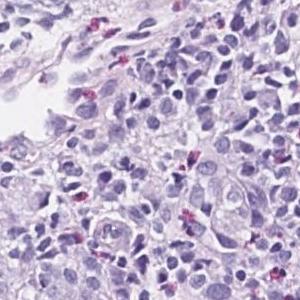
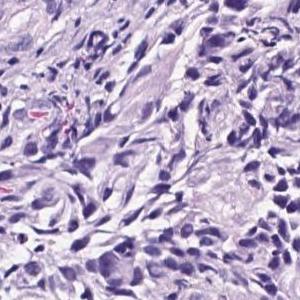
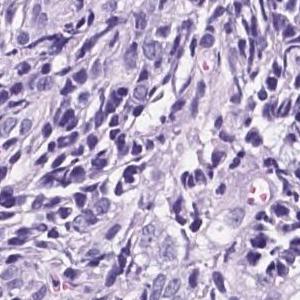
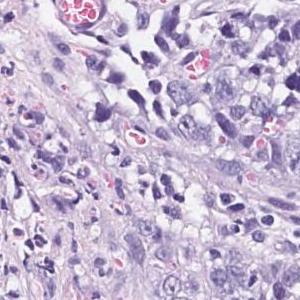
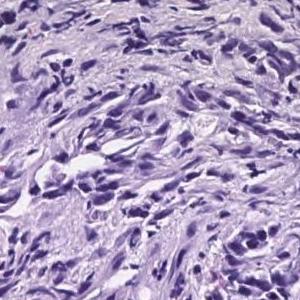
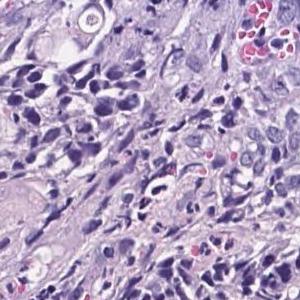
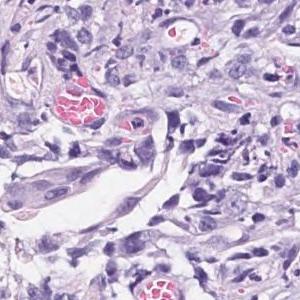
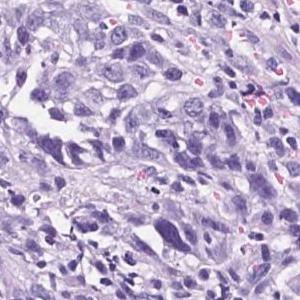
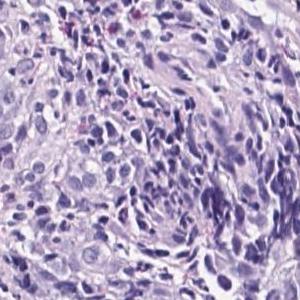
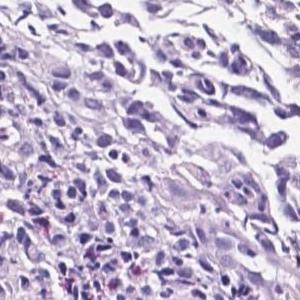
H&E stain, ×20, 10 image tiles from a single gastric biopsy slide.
Diagnostic report for the slide these tiles come from. The report describes the whole slide, diagnosis included: not every finding it names need appear in these tiles, which may also show non-tumor tissue.
Medium to small atypical epithelial cells that become cord-like or irregularly agglomerated and infiltrate. Poorly differentiated adenocarcinoma
Histologic type: Poorly differentiated adenocarcinoma, solid type, a category of the Japanese Classification of Gastric Carcinoma; in the WHO 2019 classification it is tubular adenocarcinoma, poorly differentiated.
